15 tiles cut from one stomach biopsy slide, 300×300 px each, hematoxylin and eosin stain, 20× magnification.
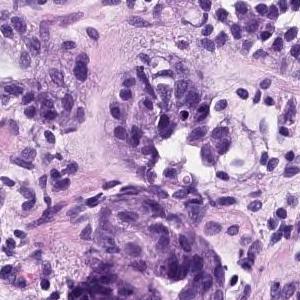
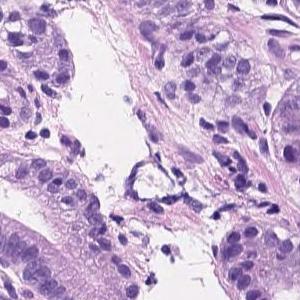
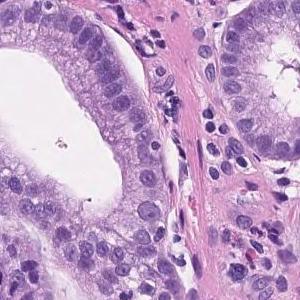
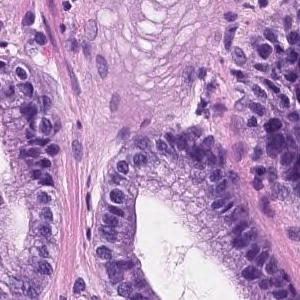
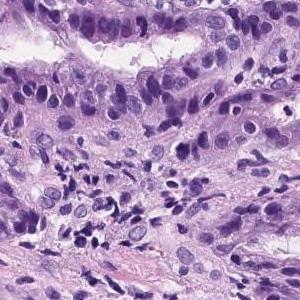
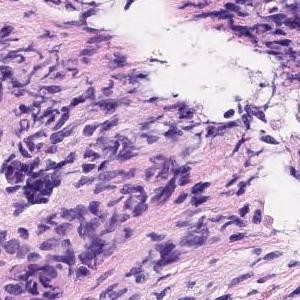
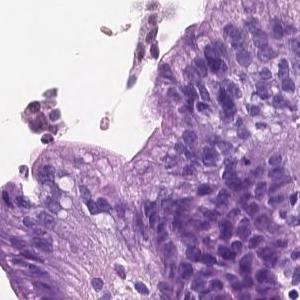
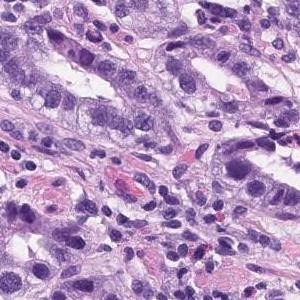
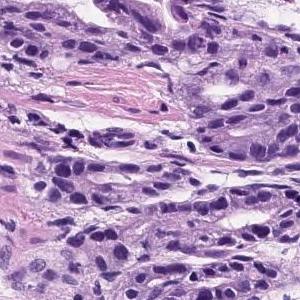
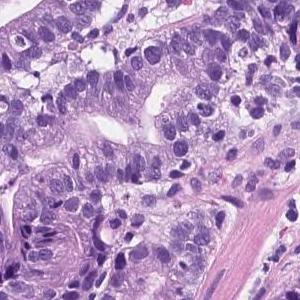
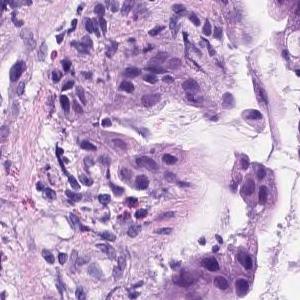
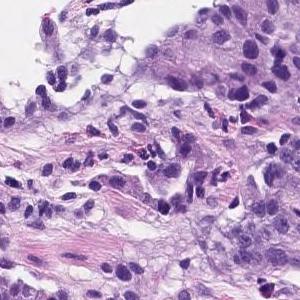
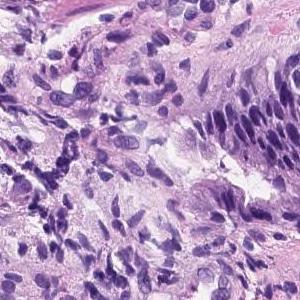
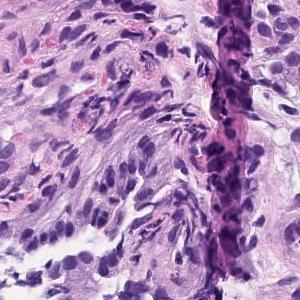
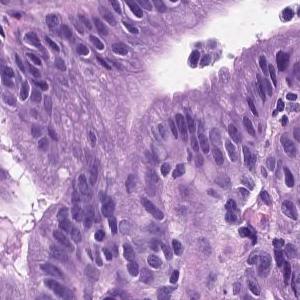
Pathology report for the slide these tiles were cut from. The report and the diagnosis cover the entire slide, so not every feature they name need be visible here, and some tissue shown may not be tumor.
Tumor tissue consisting of medium-sized and irregular ducts is observed infiltrating in the superficial epithelium. Tumor cells are highly columnar, with nuclei aligned basolaterally and polarized. Well differentiated tubular adenocarcinoma.
